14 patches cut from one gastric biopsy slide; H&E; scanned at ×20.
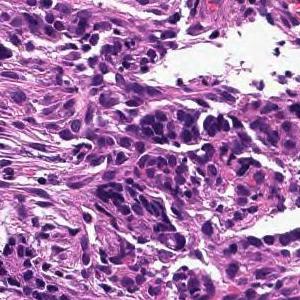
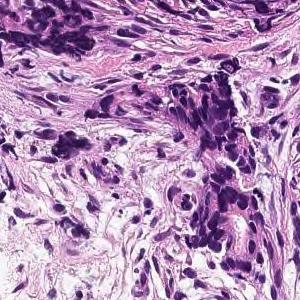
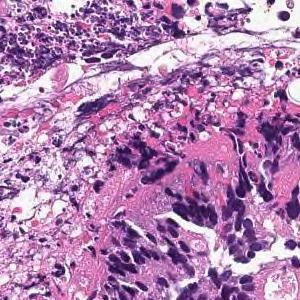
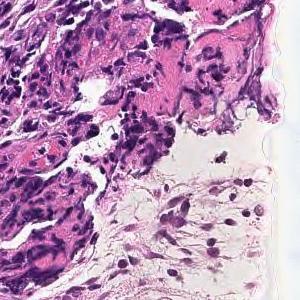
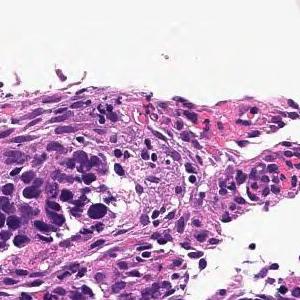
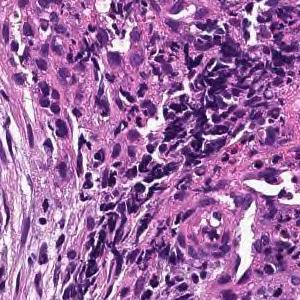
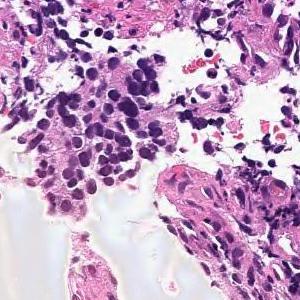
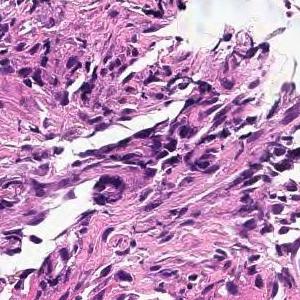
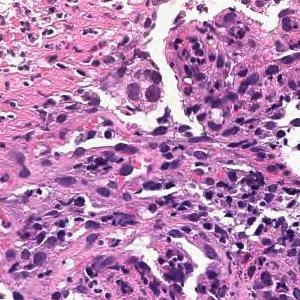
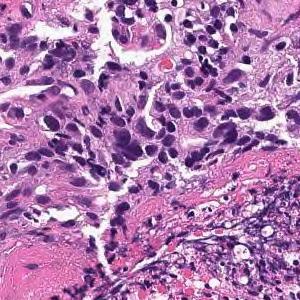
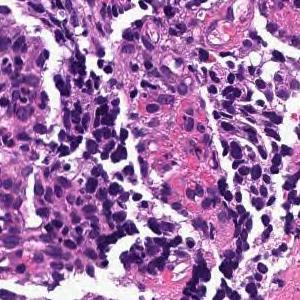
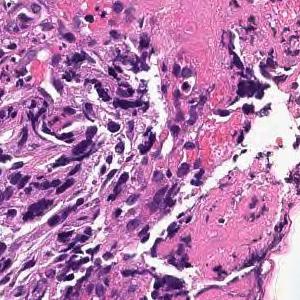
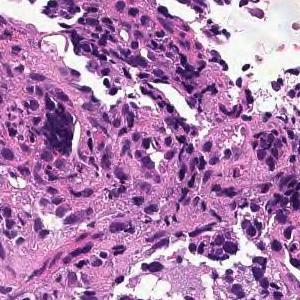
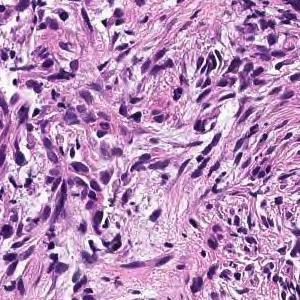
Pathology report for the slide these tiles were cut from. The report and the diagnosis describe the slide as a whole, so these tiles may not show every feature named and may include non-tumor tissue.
Tumor tissue consisting of medium-sized, cord-like or irregular glandular infiltration is observed in the superficial epithelium. Poorly differentiated adenocarcinoma, non-solid type or moderately differentiated tubular adenocarcinoma
Tumor subtype: moderately to poorly differentiated adenocarcinoma.
"Non-solid type" is a category of the Japanese Classification of Gastric Carcinoma.
